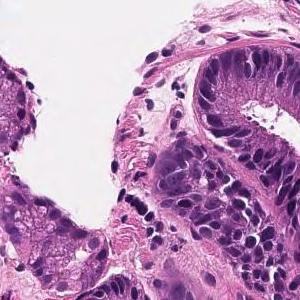
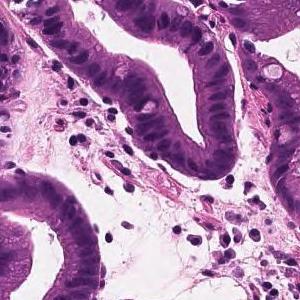
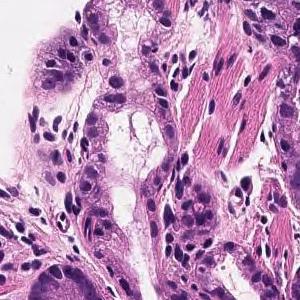
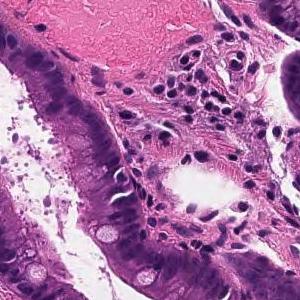
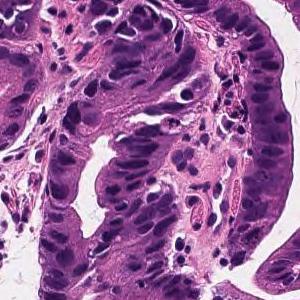
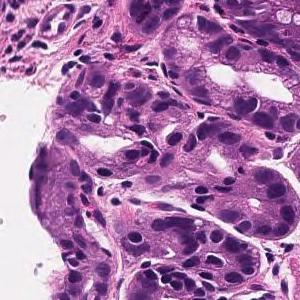
6 patches cut from one gastric biopsy slide · 300 × 300 pixels each · 20× magnification.
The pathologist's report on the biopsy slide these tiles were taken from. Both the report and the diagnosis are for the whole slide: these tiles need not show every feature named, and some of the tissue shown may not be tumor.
Tumor cells are large, highly columnar, large club-shaped nuclei, and are associated with chromatin aggregation. Papillary adenocarcinoma.
